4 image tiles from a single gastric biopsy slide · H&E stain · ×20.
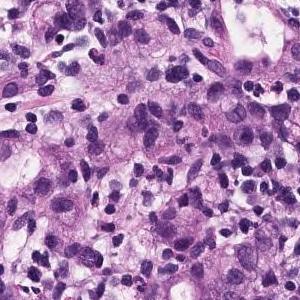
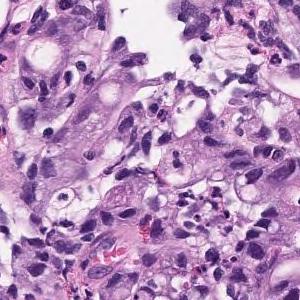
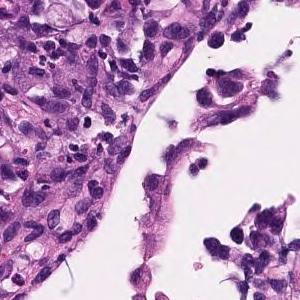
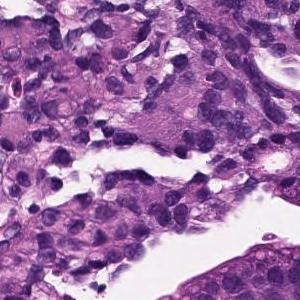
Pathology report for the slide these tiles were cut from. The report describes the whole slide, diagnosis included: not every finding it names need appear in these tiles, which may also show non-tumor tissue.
Atypical epithelium forms irregularly fused gland ducts and proliferates. Poorly differentiated adenocarcinoma.
Histological subtype: Poorly differentiated adenocarcinoma, non-solid type.
The term "non-solid type" comes from the Japanese Classification of Gastric Carcinoma.
